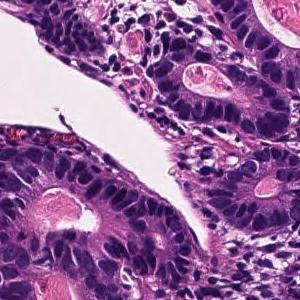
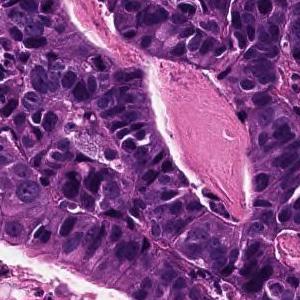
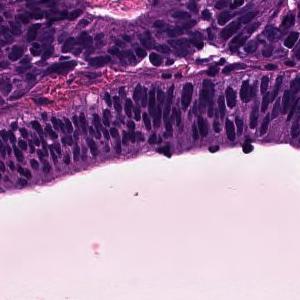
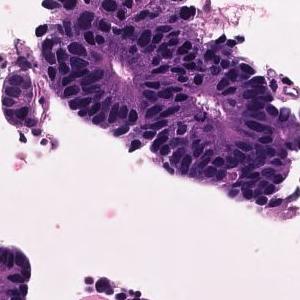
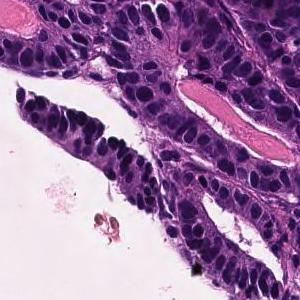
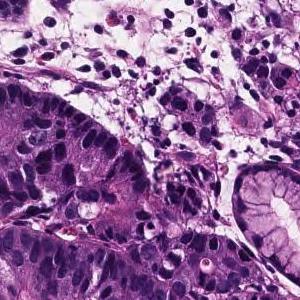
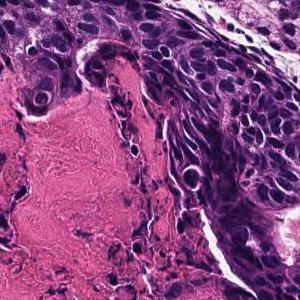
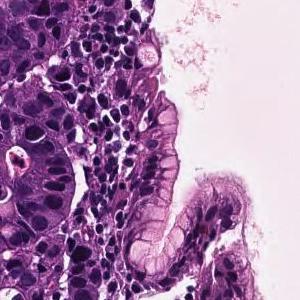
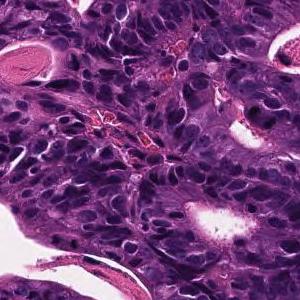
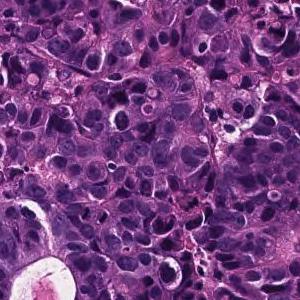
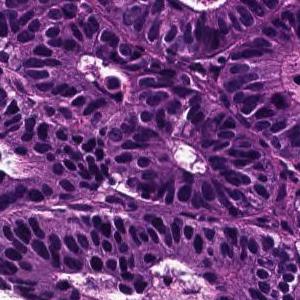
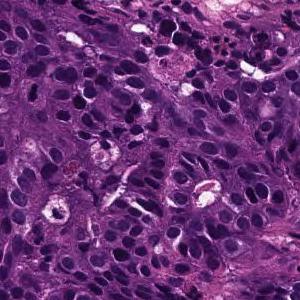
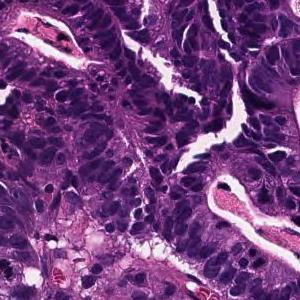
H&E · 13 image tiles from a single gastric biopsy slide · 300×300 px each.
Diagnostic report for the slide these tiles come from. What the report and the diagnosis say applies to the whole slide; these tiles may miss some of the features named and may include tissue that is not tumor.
In the superficial epithelium, tumor tissue that invades by forming medium-sized to small, irregular ducts is observed. moderately differentiated tubular adenocarcinoma.
